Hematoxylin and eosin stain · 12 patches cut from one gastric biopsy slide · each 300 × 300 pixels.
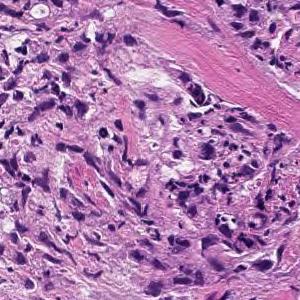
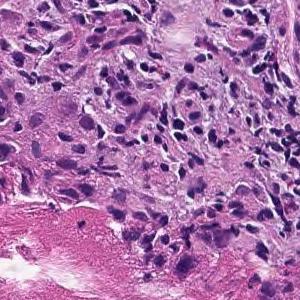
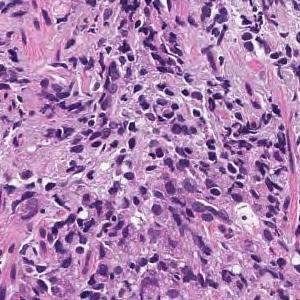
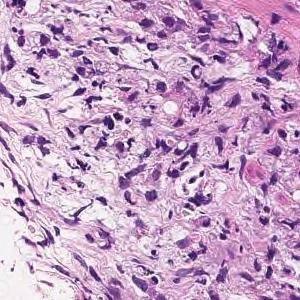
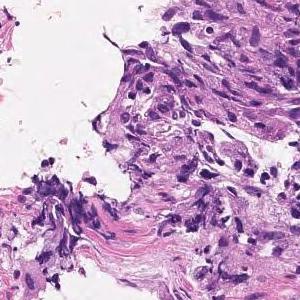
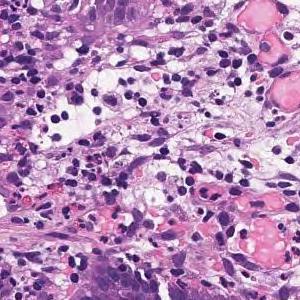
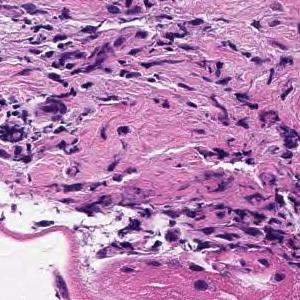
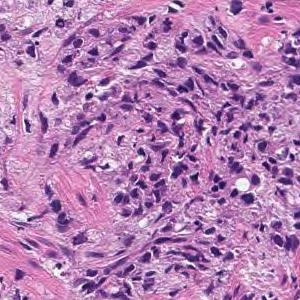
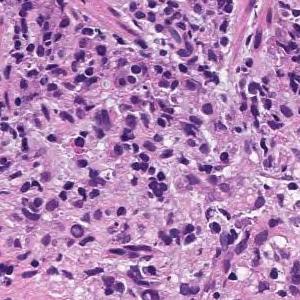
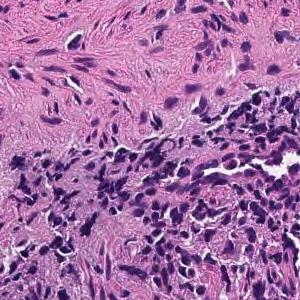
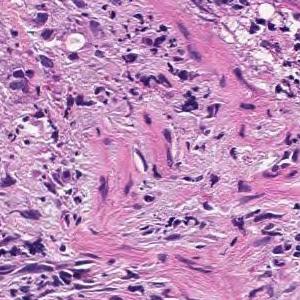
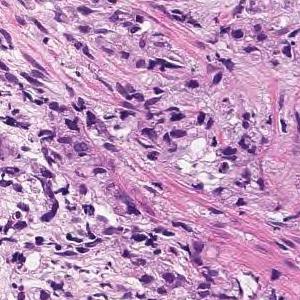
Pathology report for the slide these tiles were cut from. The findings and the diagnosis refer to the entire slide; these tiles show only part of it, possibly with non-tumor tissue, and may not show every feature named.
Tumor tissue consisting of cord-like or small, irregular glandular ducts fused and infiltrated is observed in the superficial epithelium. Poorly differentiated adenocarcinoma, non-solid type
The term "non-solid type" comes from the Japanese Classification of Gastric Carcinoma.
